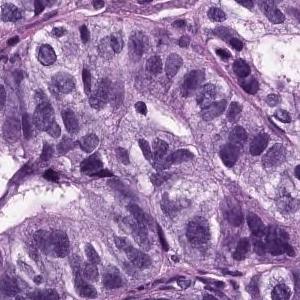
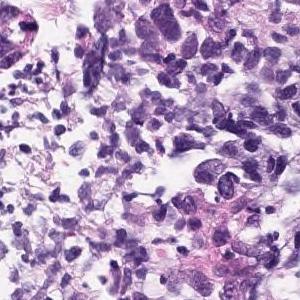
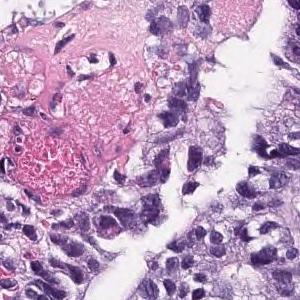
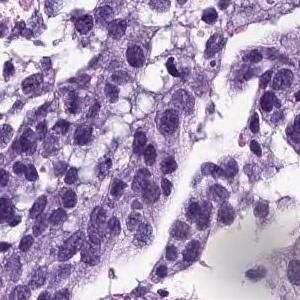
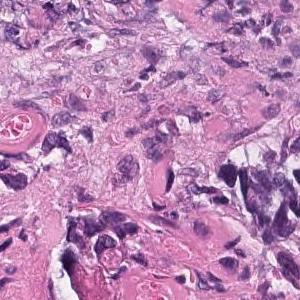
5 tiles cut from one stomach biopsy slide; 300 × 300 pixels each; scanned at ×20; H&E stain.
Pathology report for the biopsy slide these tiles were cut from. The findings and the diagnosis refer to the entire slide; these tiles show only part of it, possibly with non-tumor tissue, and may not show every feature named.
The superficial epithelium shows a large sheet-like shape, and some tumor tissue infiltrates with small irregular ducts. Poorly differentiated adenocarcinoma, solid-type
Classified as poorly differentiated adenocarcinoma, solid type. This name comes from the Japanese Classification of Gastric Carcinoma; the WHO 2019 classification calls it tubular adenocarcinoma, poorly differentiated.
